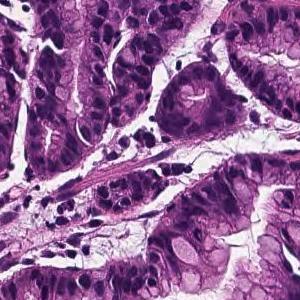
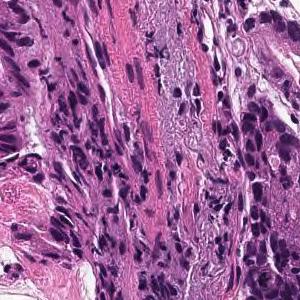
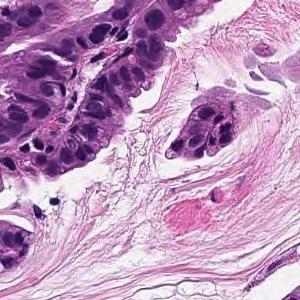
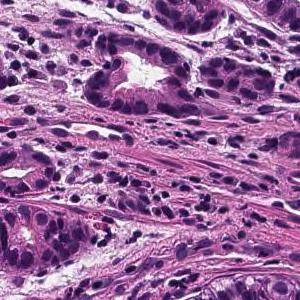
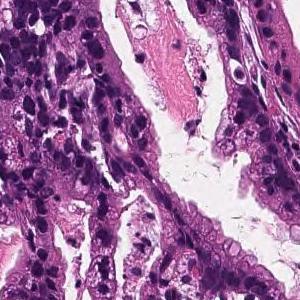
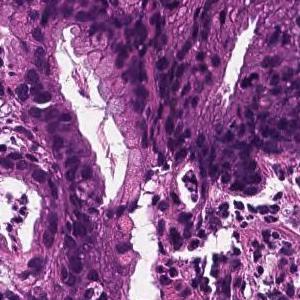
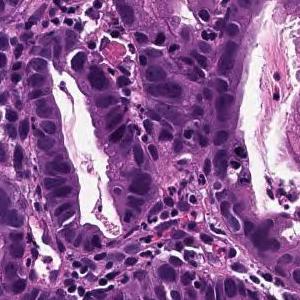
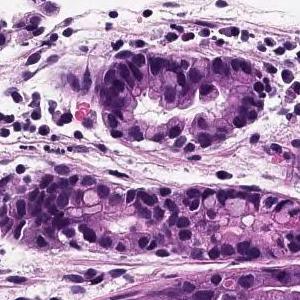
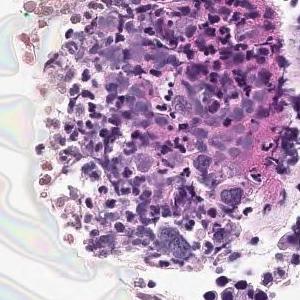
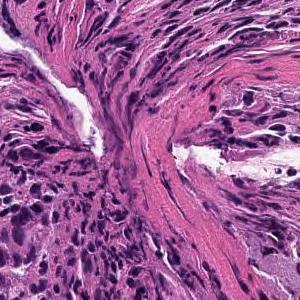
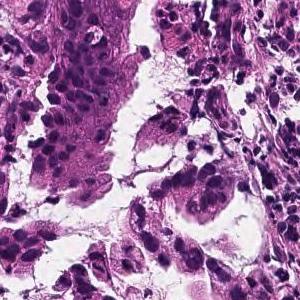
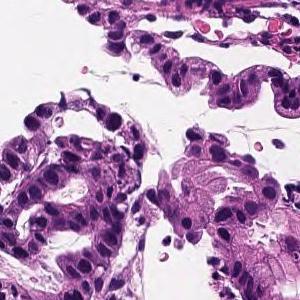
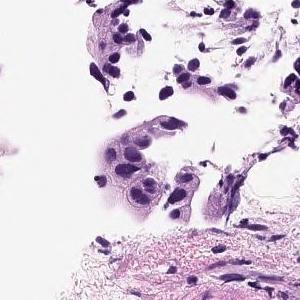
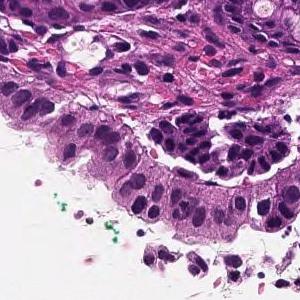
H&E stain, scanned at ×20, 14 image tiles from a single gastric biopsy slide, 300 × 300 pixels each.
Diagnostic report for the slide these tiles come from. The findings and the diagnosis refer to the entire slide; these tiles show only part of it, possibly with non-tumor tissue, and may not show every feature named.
Tumor cells are large, highly columnar, large club-shaped nuclei, and are associated with chromatin aggregation. Papillary adenocarcinoma.
